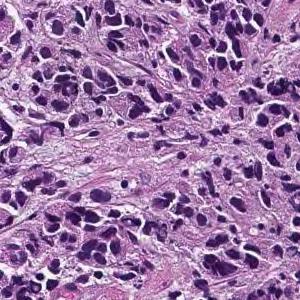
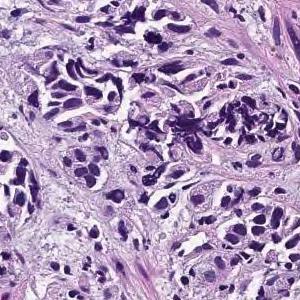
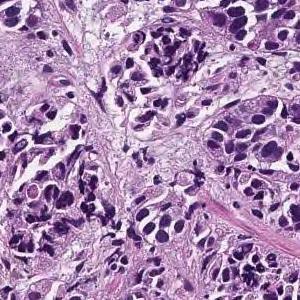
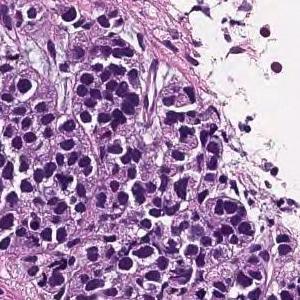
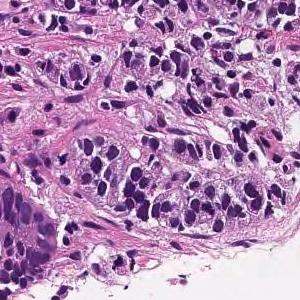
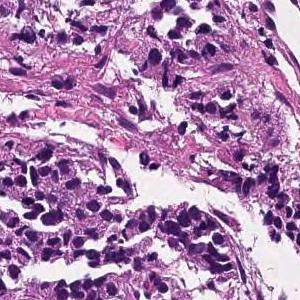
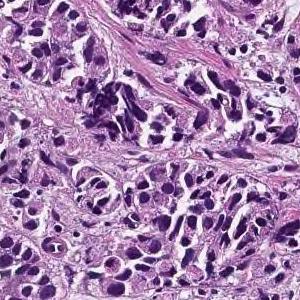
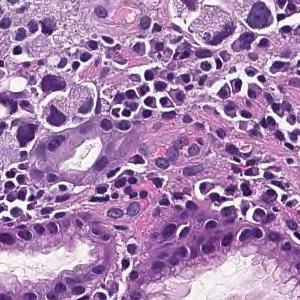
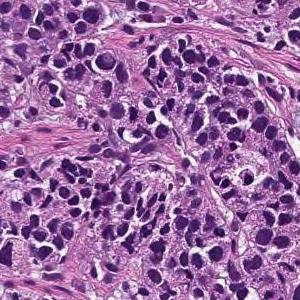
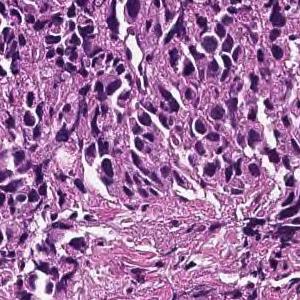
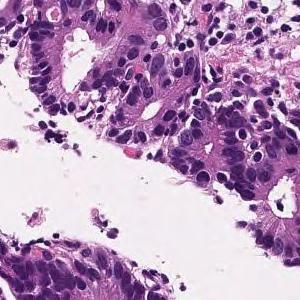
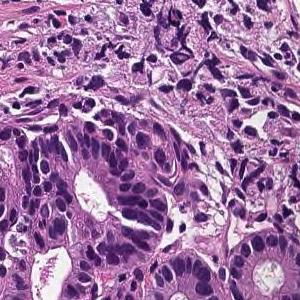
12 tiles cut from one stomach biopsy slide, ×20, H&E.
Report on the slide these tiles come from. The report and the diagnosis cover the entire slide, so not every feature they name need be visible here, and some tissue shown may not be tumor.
The lamina propria shows small cord-like tumor tissue that infiltrates with fibrosis and marked chronic inflammatory cell infiltration. Poorly differentiated adenocarcinoma, non-solid type
The term "non-solid type" comes from the Japanese Classification of Gastric Carcinoma.
